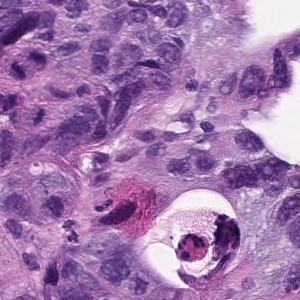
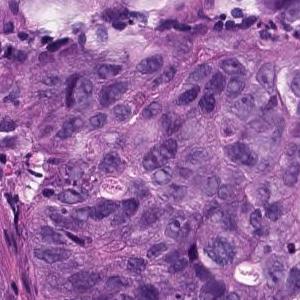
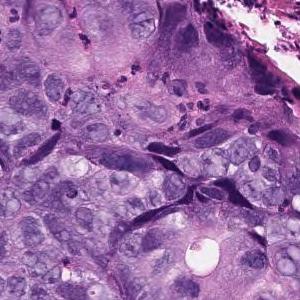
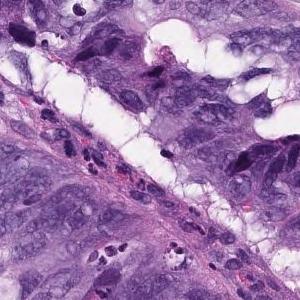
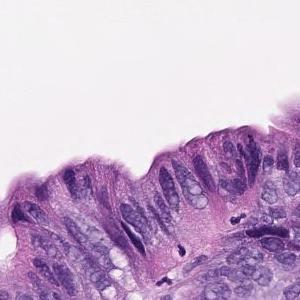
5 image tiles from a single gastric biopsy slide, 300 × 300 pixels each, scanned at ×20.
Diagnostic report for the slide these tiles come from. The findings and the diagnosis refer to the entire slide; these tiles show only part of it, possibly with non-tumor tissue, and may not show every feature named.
In the superficial epithelium, tumor tissue that invades by forming medium-sized to small, irregular ducts is observed. Moderately differentiated adenocarcinoma.
Tumor subtype: moderately differentiated tubular adenocarcinoma.
